Scanned at ×20, H&E, 11 patches cut from one gastric biopsy slide.
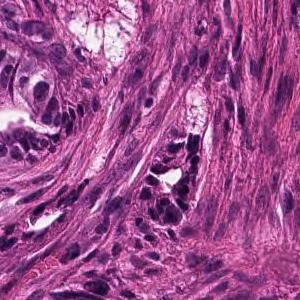
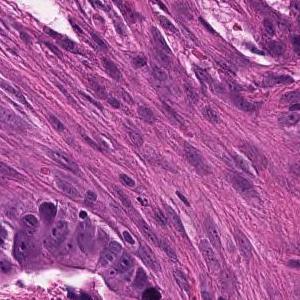
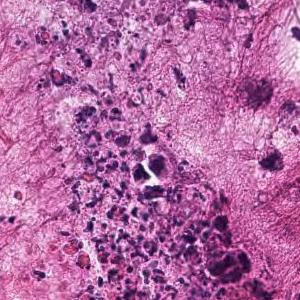
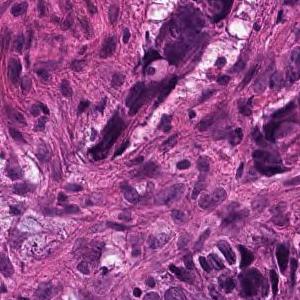
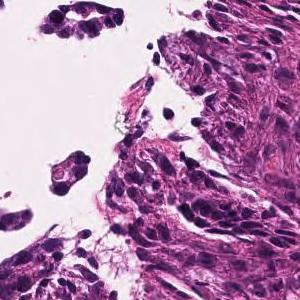
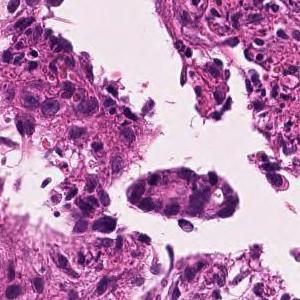
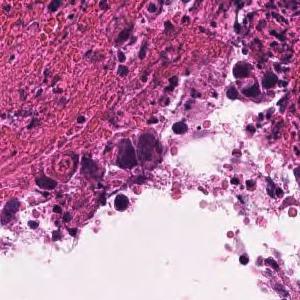
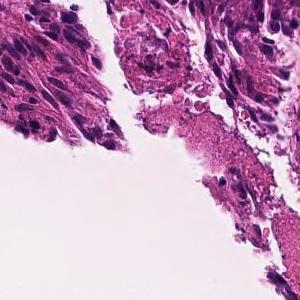
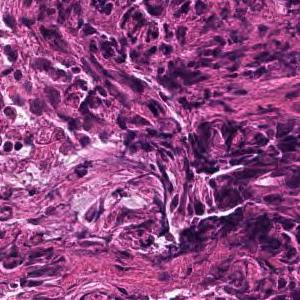
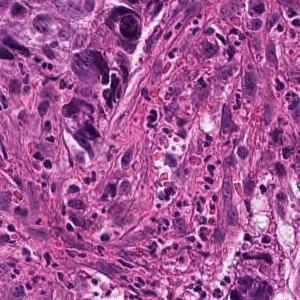
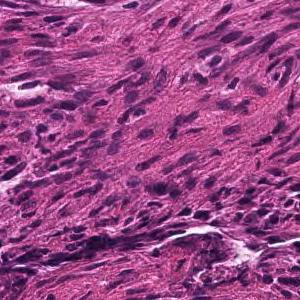
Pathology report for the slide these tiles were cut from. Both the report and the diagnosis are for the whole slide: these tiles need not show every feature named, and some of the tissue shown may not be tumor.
In the superficial epithelium, tumor tissue that invades by forming medium-sized to small, irregular ducts is observed. moderately differentiated tubular adenocarcinoma.
